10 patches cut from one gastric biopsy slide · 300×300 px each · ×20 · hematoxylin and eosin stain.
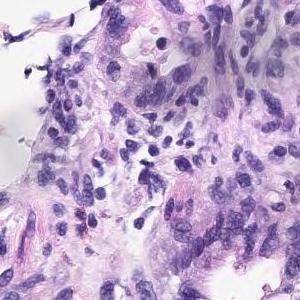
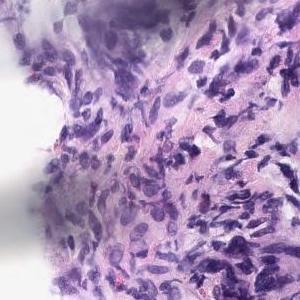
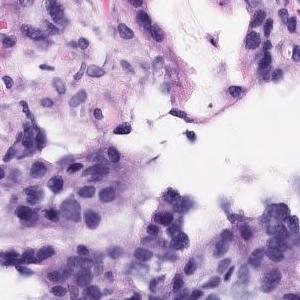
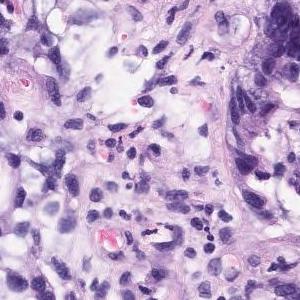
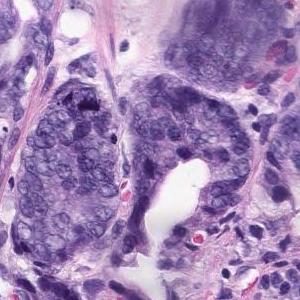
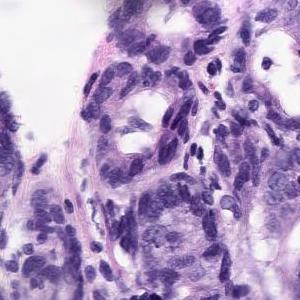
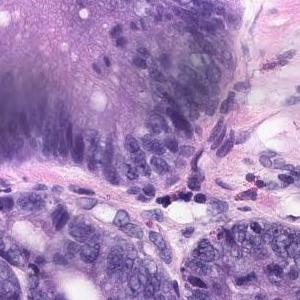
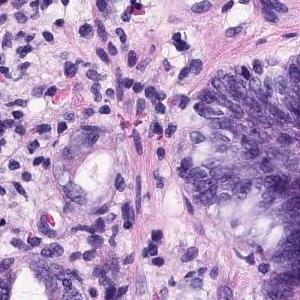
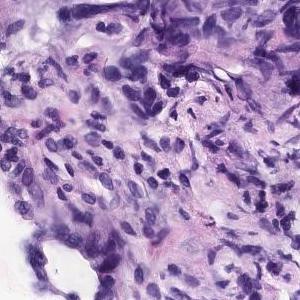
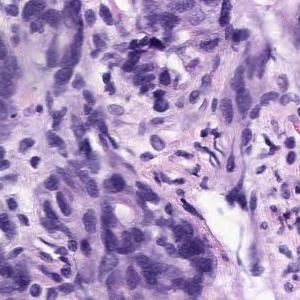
The pathologist's report on the biopsy slide these tiles were taken from. The report and the diagnosis describe the slide as a whole, so these tiles may not show every feature named and may include non-tumor tissue.
In the superficial epithelium, tumor tissue that invades by forming medium-sized to small, irregular ducts is observed. Moderately differentiated adenocarcinoma
Histological subtype: Moderately differentiated tubular adenocarcinoma.
